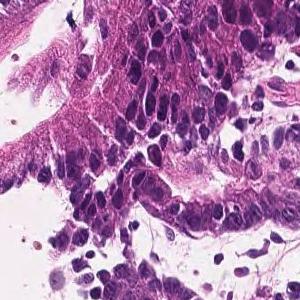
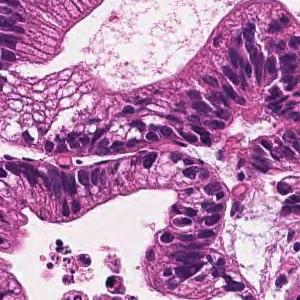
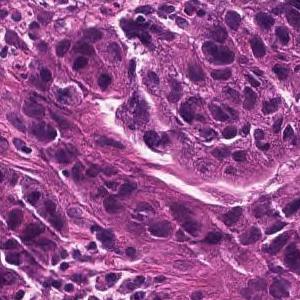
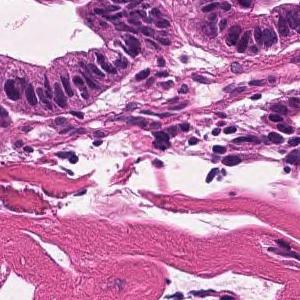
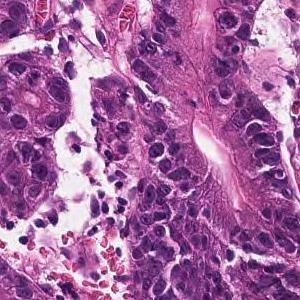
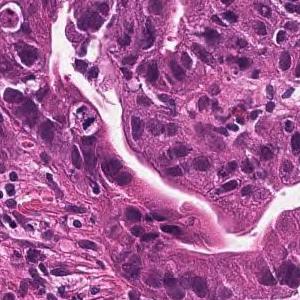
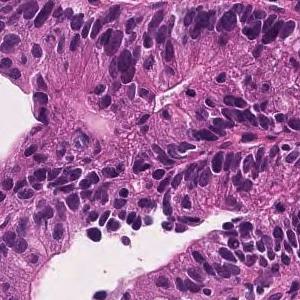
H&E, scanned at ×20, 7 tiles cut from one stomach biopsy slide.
Pathology report for the slide these tiles were cut from. The report and the diagnosis cover the entire slide, so not every feature they name need be visible here, and some tissue shown may not be tumor.
In the superficial epithelium, tumor tissue that invades by forming medium-sized to small, irregular ducts is observed. moderately differentiated tubular adenocarcinoma.
